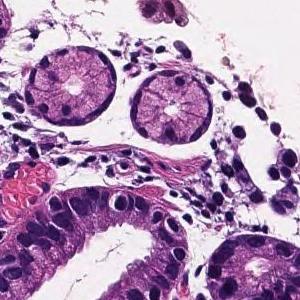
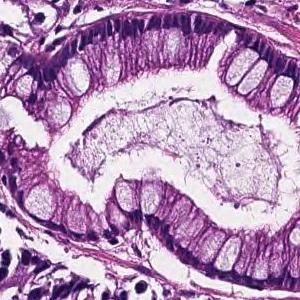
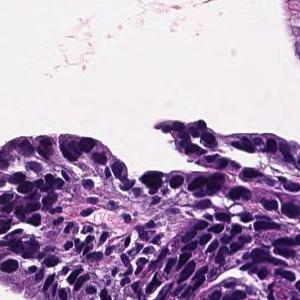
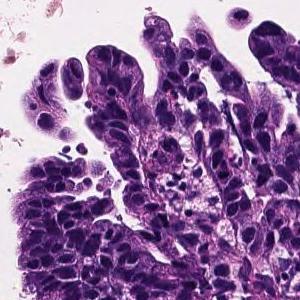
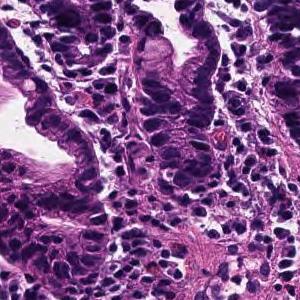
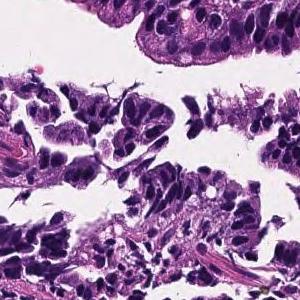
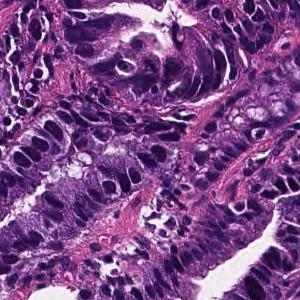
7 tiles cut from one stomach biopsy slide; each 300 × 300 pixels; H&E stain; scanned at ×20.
The pathologist's report on the biopsy slide these tiles were taken from. Both the report and the diagnosis are for the whole slide: these tiles need not show every feature named, and some of the tissue shown may not be tumor.
Tumor cells are large, highly columnar, large club-shaped nuclei, and are associated with chromatin aggregation. Papillary adenocarcinoma.
